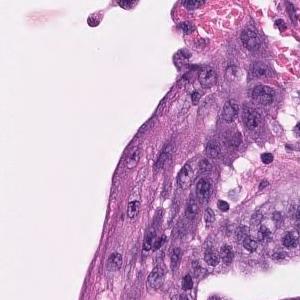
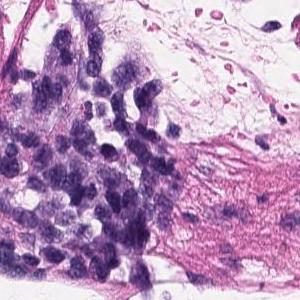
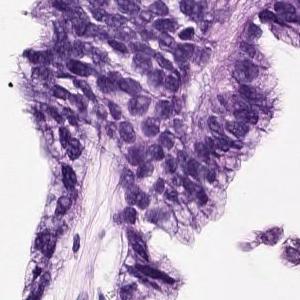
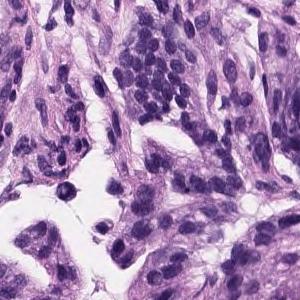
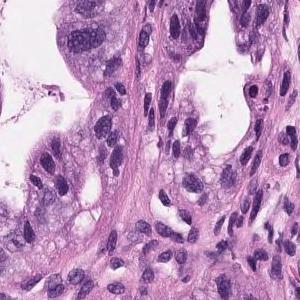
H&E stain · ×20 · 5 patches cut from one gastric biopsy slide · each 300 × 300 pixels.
The pathologist's report on the biopsy slide these tiles were taken from. The report describes the whole slide, diagnosis included: not every finding it names need appear in these tiles, which may also show non-tumor tissue.
Tumor cells are large, highly columnar, large club-shaped nuclei, and are associated with chromatin aggregation. Papillary adenocarcinoma.
